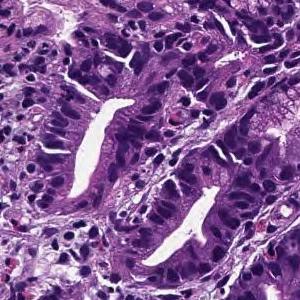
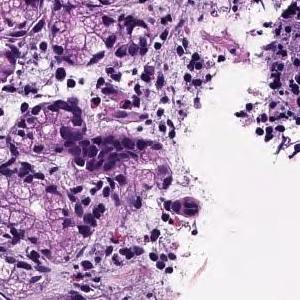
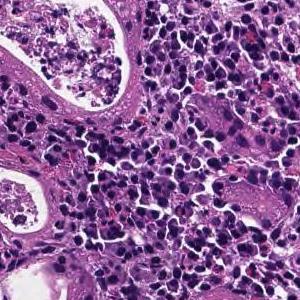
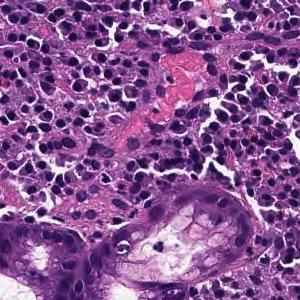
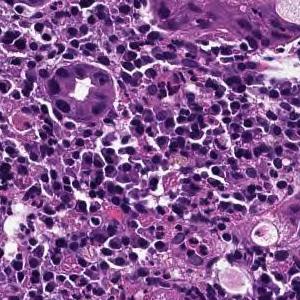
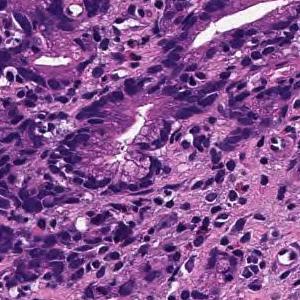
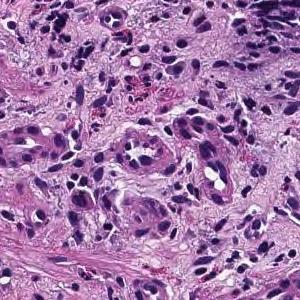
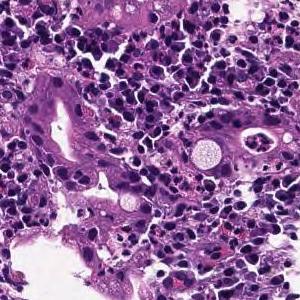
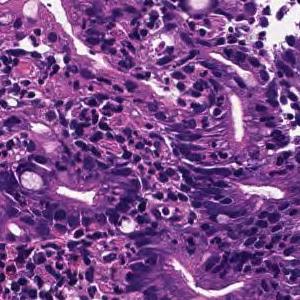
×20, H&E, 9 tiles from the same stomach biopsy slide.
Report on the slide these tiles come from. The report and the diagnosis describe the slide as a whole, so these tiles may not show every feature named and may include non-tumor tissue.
In the superficial epithelium, tumor tissue that invades by forming medium-sized to small, irregular ducts is observed. moderately differentiated tubular adenocarcinoma.
